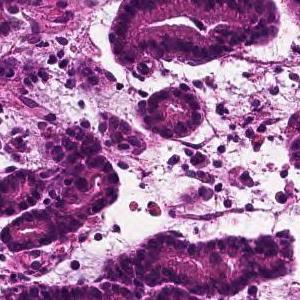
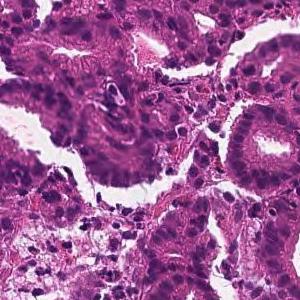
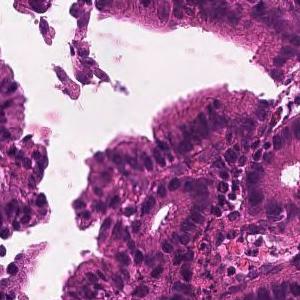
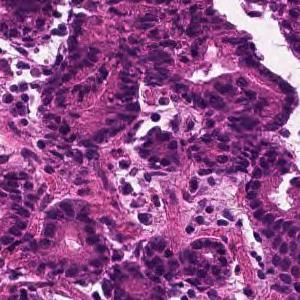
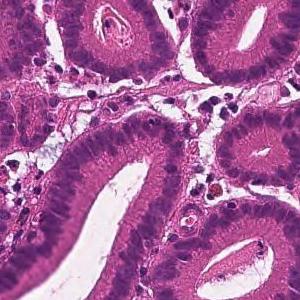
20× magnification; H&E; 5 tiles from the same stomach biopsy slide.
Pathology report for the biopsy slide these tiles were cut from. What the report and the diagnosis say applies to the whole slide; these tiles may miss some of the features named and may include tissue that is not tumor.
From the superficial epithelium to the muscularis mucosae, tumor tissue consisting of medium-sized and irregular glandular ducts infiltrating is observed. Well differentiated tubular adenocarcinoma
